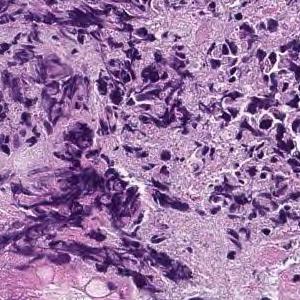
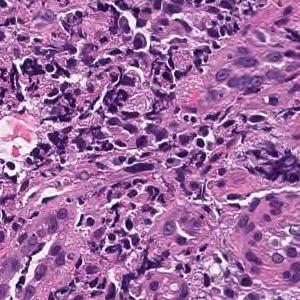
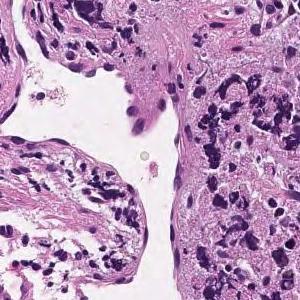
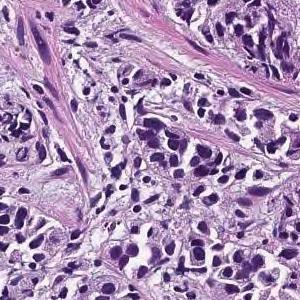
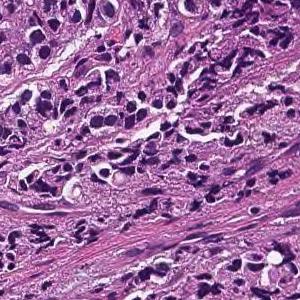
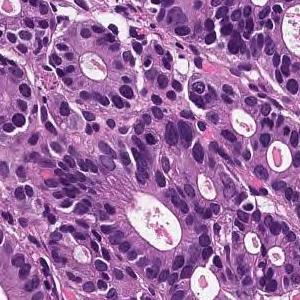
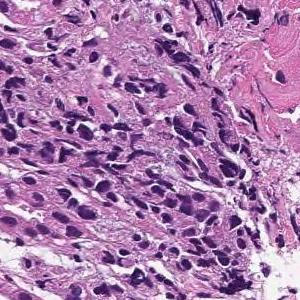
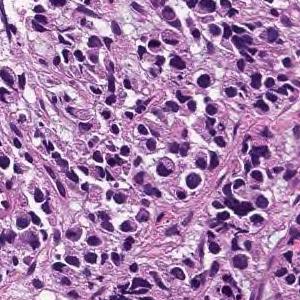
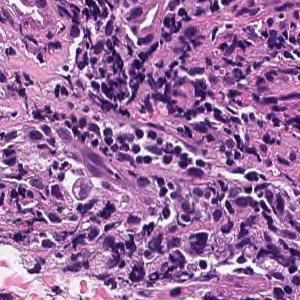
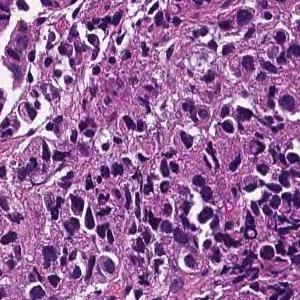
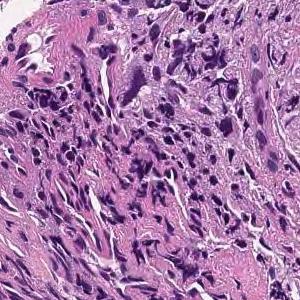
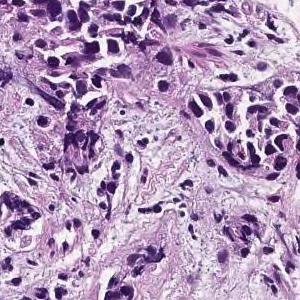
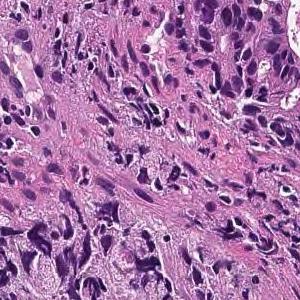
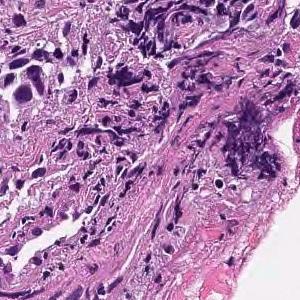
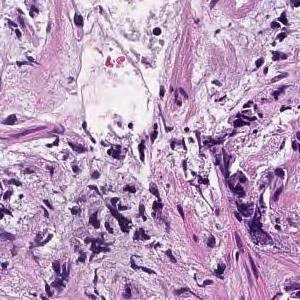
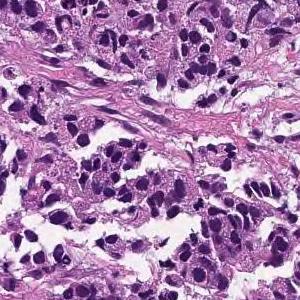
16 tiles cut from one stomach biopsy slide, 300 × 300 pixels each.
Pathology report for the biopsy slide these tiles were cut from. The report and the diagnosis cover the entire slide, so not every feature they name need be visible here, and some tissue shown may not be tumor.
The lamina propria shows small cord-like tumor tissue that infiltrates with fibrosis and marked chronic inflammatory cell infiltration. Poorly differentiated adenocarcinoma, non-solid type
The term "non-solid type" comes from the Japanese Classification of Gastric Carcinoma.
